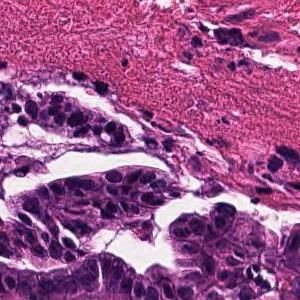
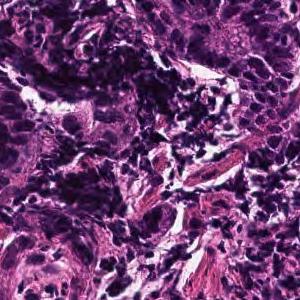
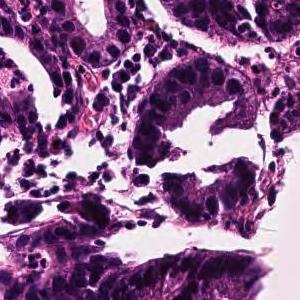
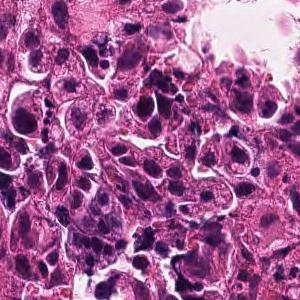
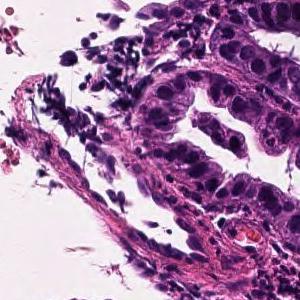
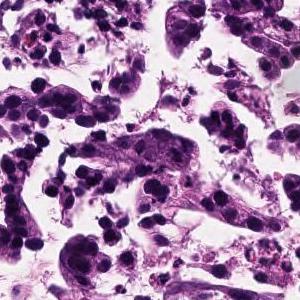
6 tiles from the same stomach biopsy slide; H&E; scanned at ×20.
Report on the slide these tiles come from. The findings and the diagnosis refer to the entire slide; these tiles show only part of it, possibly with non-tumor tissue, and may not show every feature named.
Tumor tissue consisting of large papillary structures is found in the superficial epithelium. Papillary adenocarcinoma.
